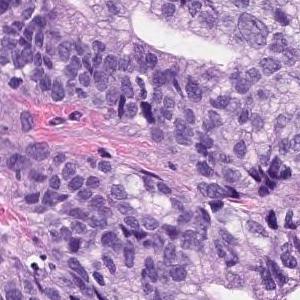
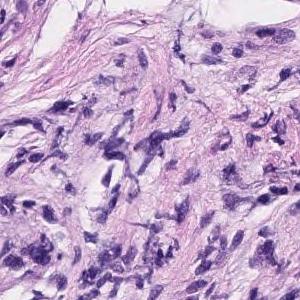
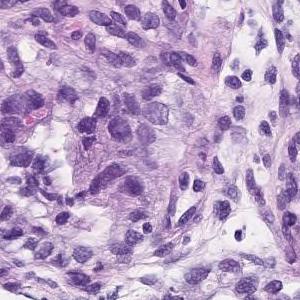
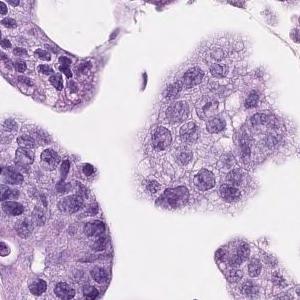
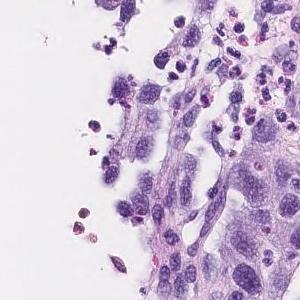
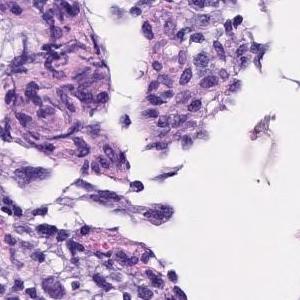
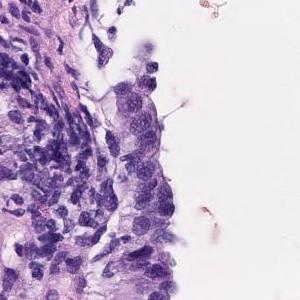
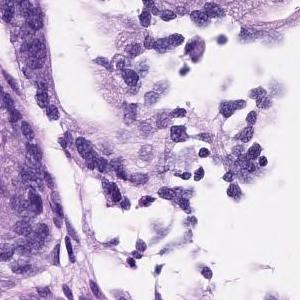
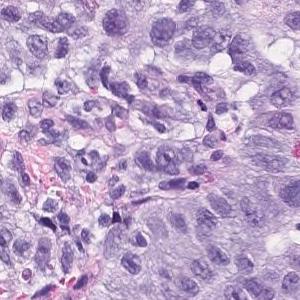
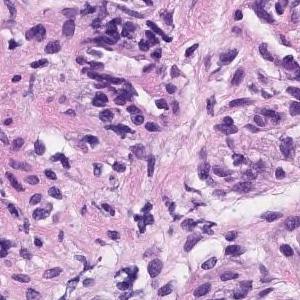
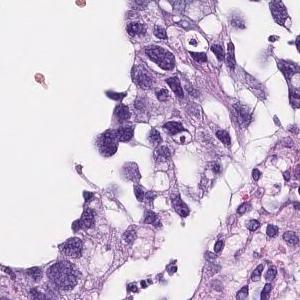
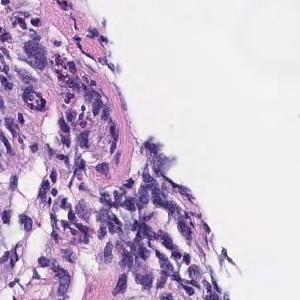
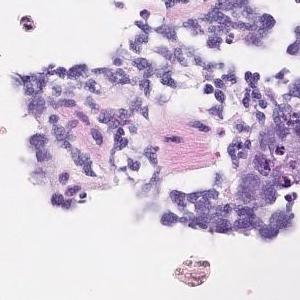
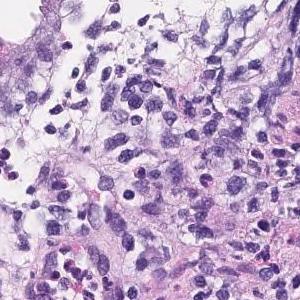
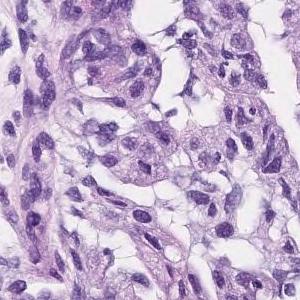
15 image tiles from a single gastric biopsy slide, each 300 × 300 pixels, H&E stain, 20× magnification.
Diagnostic report for the slide these tiles come from. The report and the diagnosis describe the slide as a whole, so these tiles may not show every feature named and may include non-tumor tissue.
Tumor cells are large, highly columnar, large club-shaped nuclei, and are associated with chromatin aggregation. Papillary adenocarcinoma.
